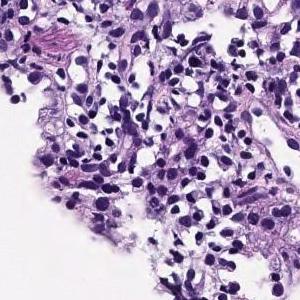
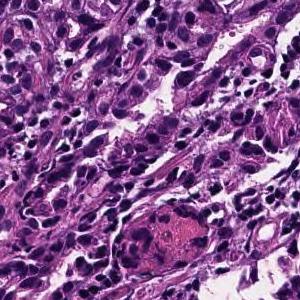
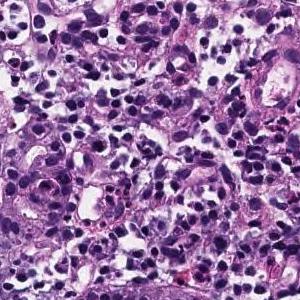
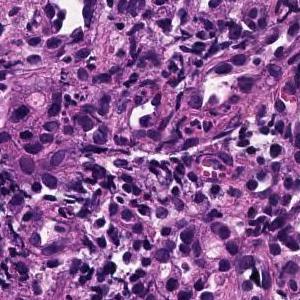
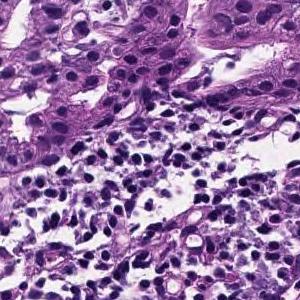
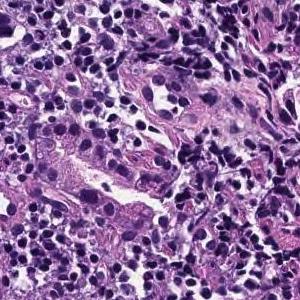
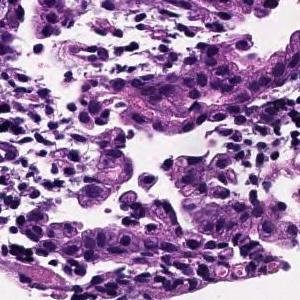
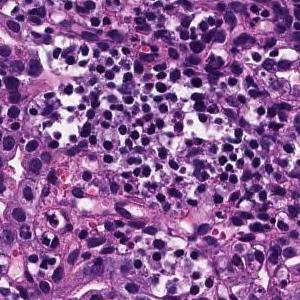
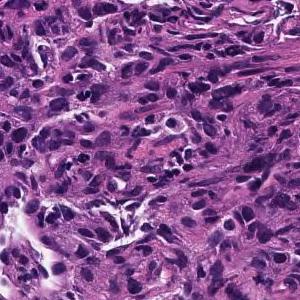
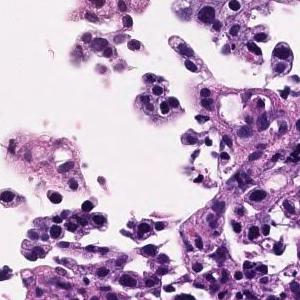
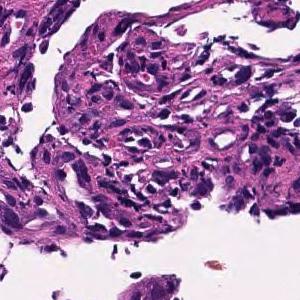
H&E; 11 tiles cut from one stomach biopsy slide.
Diagnostic report for the slide these tiles come from. What the report and the diagnosis say applies to the whole slide; these tiles may miss some of the features named and may include tissue that is not tumor.
Medium to small, irregular glandular ducts are formed in the superficial epithelium, and in some cases, the glandular ducts are fused to show solid alveolar lesions and infiltrating tumor tissue is observed. Moderately to poorly differentiated adenocarcinoma.
